14 tiles cut from one stomach biopsy slide; H&E stain; scanned at ×20.
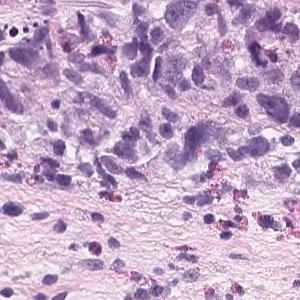
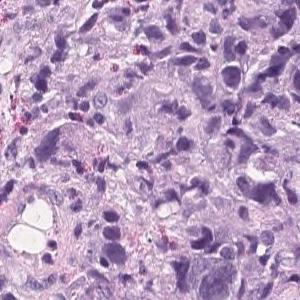
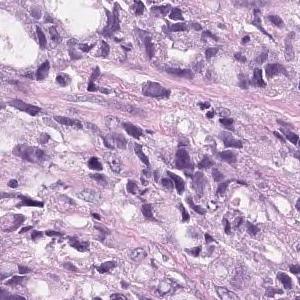
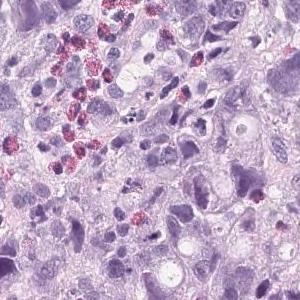
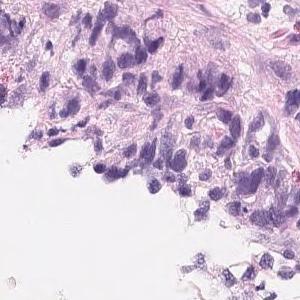
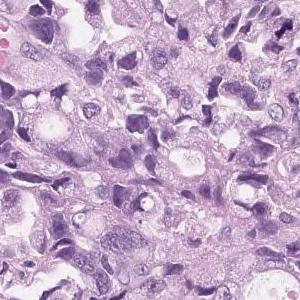
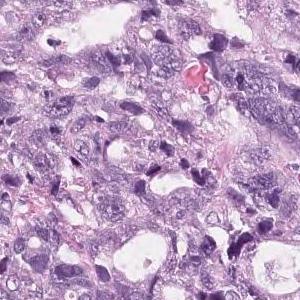
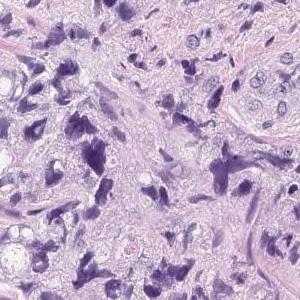
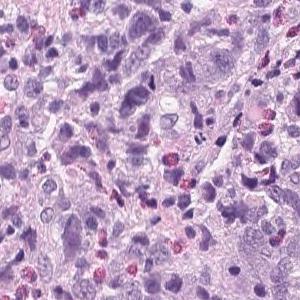
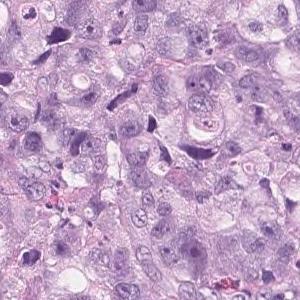
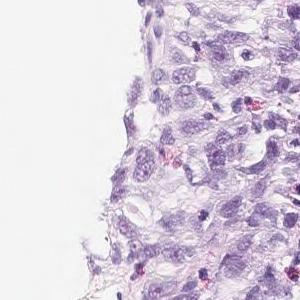
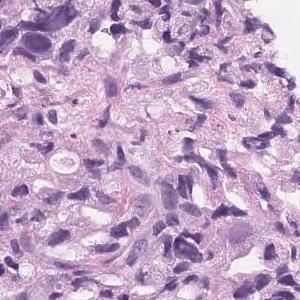
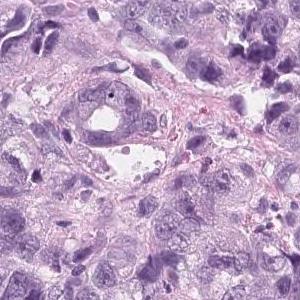
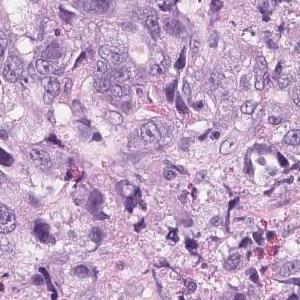
Report on the slide these tiles come from. The report and the diagnosis describe the slide as a whole, so these tiles may not show every feature named and may include non-tumor tissue.
Tumor tissue that infiltrates and proliferates by forming small glandular cavities in the superficial layer to the submucosa or forming a mass is observed. moderately differentiated tubular adenocarcinoma
